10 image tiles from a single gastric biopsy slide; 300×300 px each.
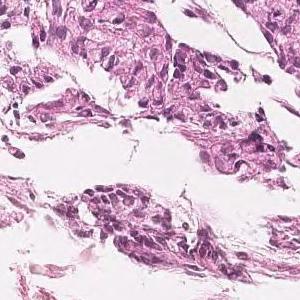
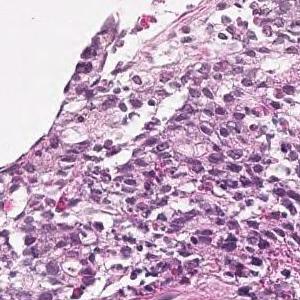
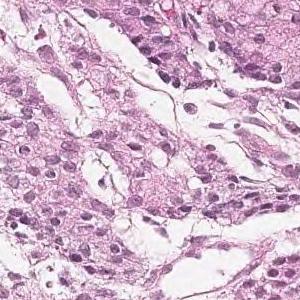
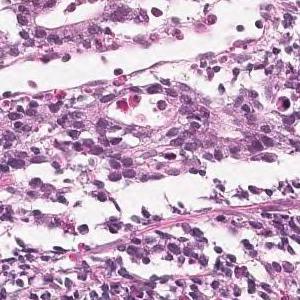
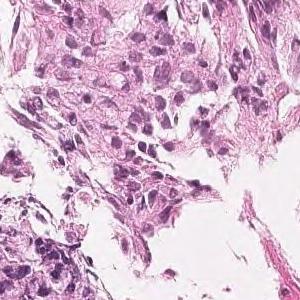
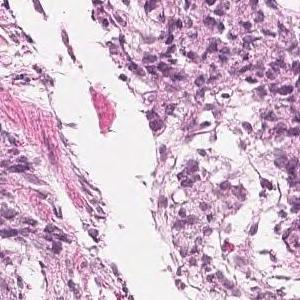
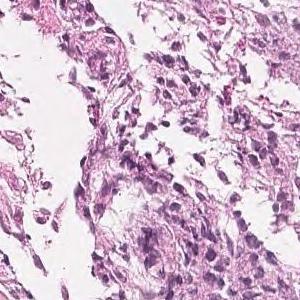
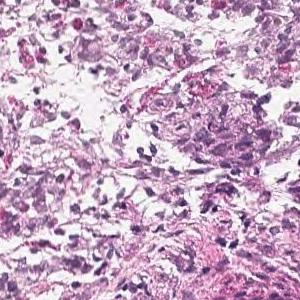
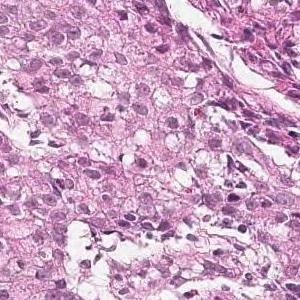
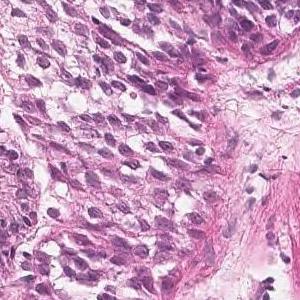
Report on the slide these tiles come from. The findings and the diagnosis refer to the entire slide; these tiles show only part of it, possibly with non-tumor tissue, and may not show every feature named.
Tumor tissue consisting of medium-sized, cord-like or irregular glandular infiltration is observed in the superficial epithelium. Poorly differentiated adenocarcinoma, non-solid type or moderately differentiated tubular adenocarcinoma
"Non-solid type" is a category of the Japanese Classification of Gastric Carcinoma.
